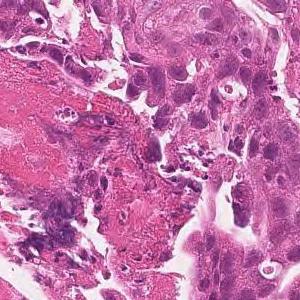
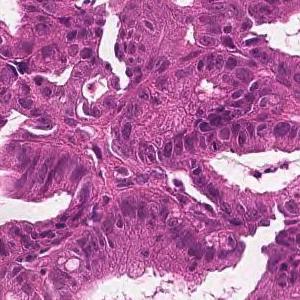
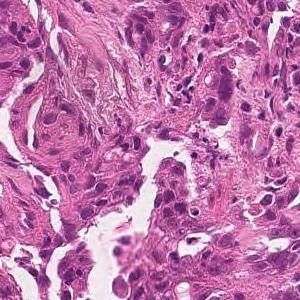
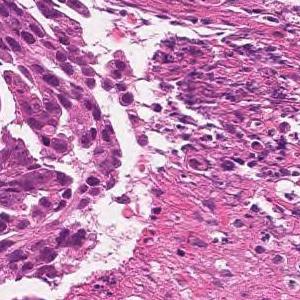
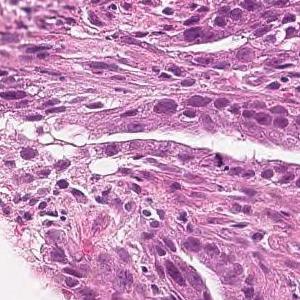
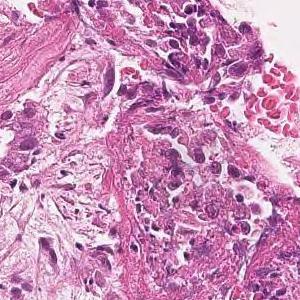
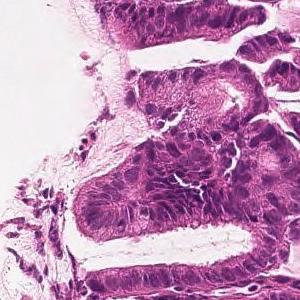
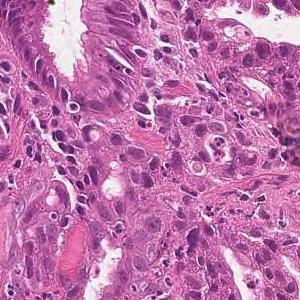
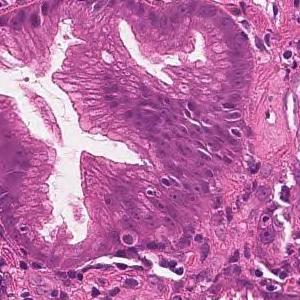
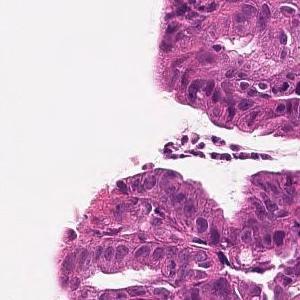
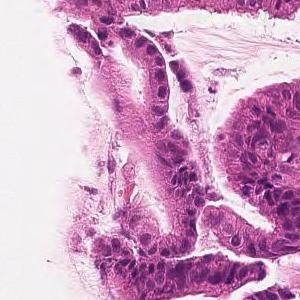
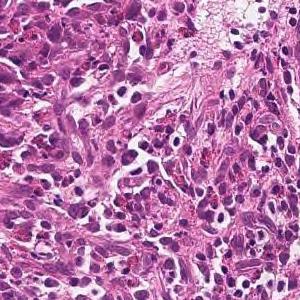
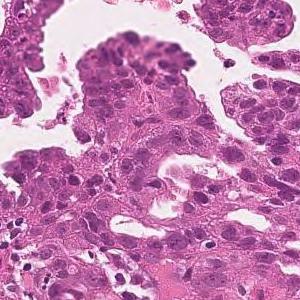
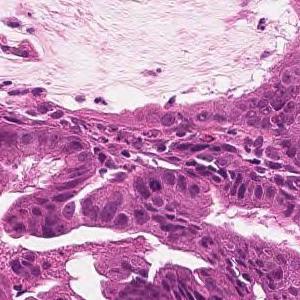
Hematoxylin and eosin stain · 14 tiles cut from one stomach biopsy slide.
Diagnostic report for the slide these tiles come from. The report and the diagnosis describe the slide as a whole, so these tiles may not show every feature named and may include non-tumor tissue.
Tumor tissue consisting of large papillary structures is found in the superficial epithelium. Papillary adenocarcinoma.
